11 tiles from the same stomach biopsy slide; 300 × 300 pixels each; hematoxylin and eosin stain.
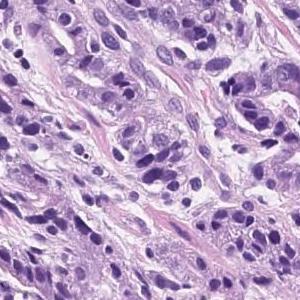
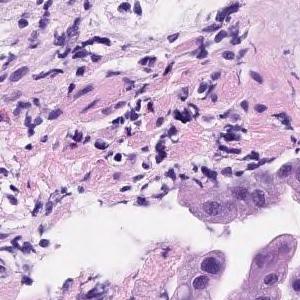
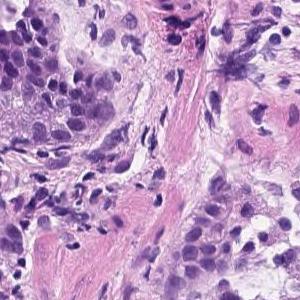
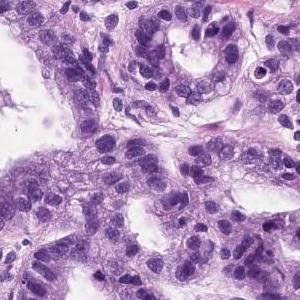
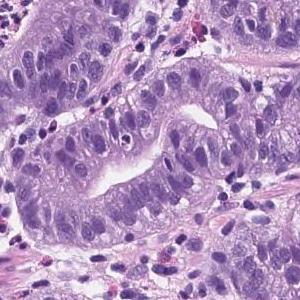
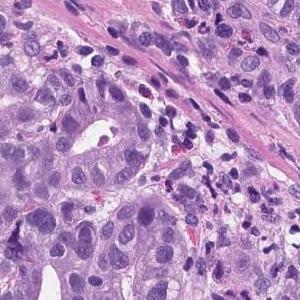
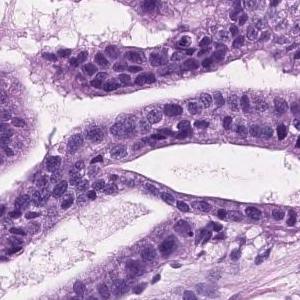
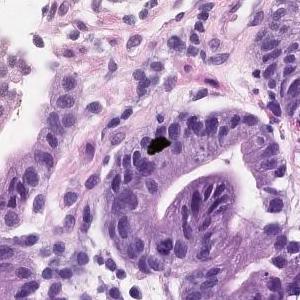
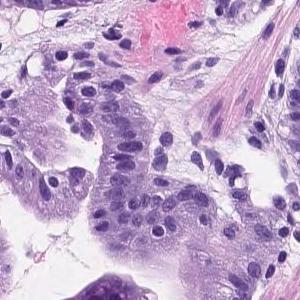
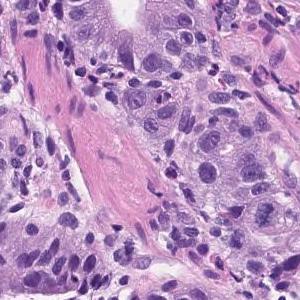
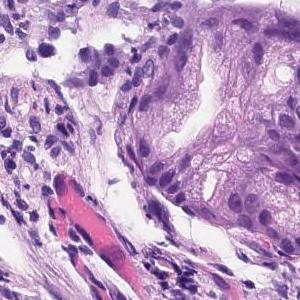
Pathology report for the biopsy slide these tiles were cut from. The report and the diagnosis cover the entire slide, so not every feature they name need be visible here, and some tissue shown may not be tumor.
Tumor tissue consisting of medium-sized and irregular ducts is observed infiltrating in the superficial epithelium. Tumor cells are highly columnar, with nuclei aligned basolaterally and polarized. Well differentiated tubular adenocarcinoma.
